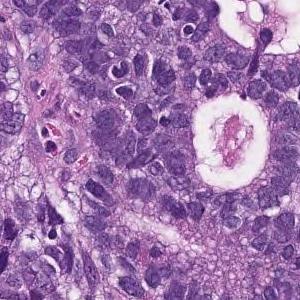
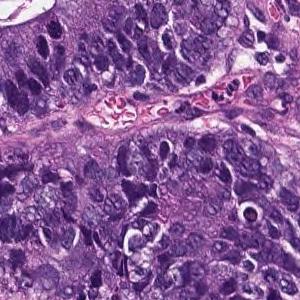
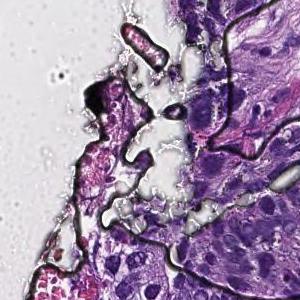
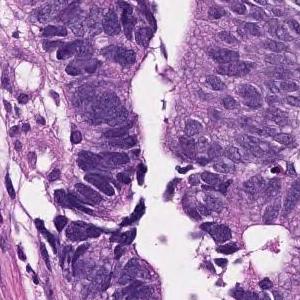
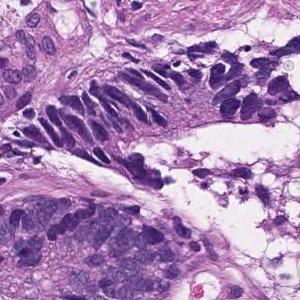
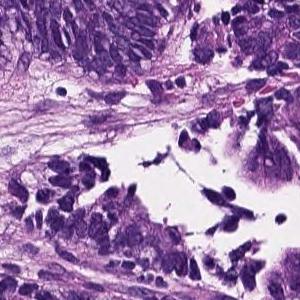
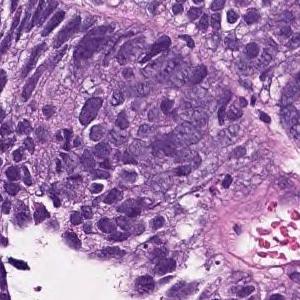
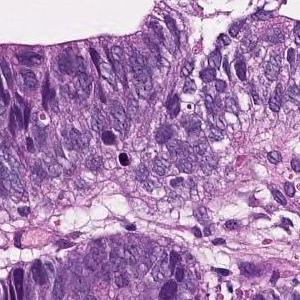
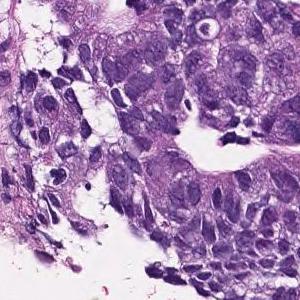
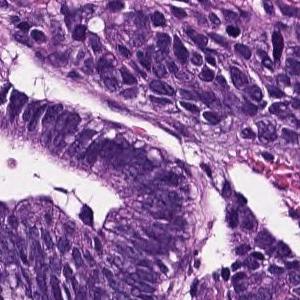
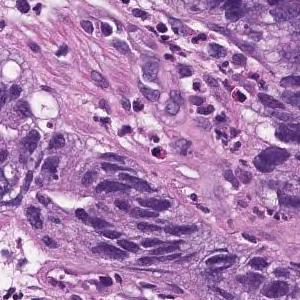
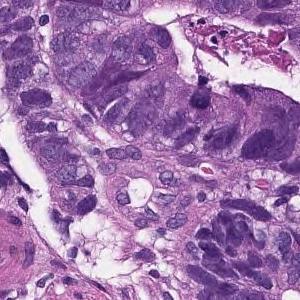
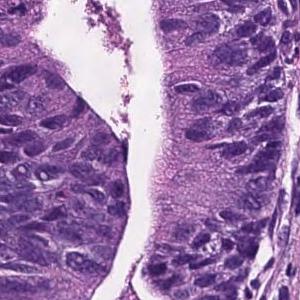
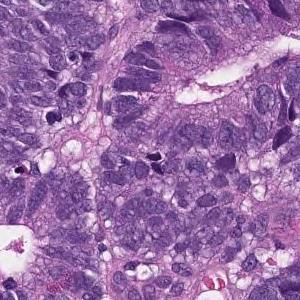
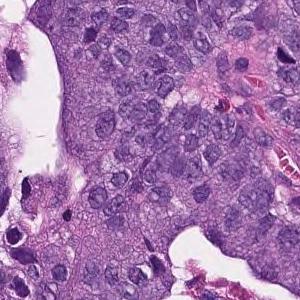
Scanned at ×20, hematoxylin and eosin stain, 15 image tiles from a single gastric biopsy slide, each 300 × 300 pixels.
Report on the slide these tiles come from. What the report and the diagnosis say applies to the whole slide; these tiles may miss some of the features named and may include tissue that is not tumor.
In the superficial epithelium, tumor tissue that invades by forming medium-sized to small, irregular ducts is observed. moderately differentiated tubular adenocarcinoma.
